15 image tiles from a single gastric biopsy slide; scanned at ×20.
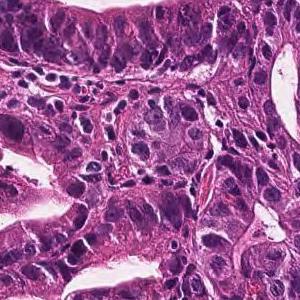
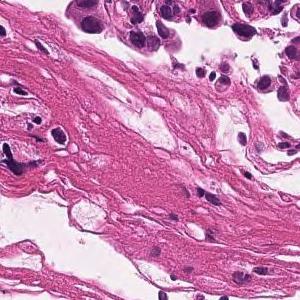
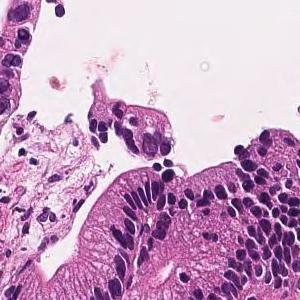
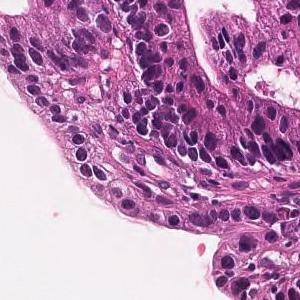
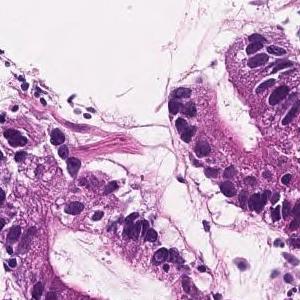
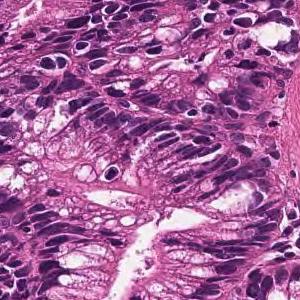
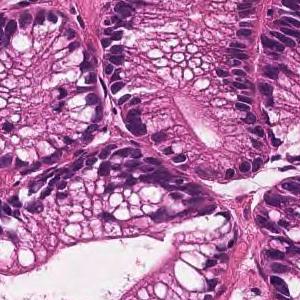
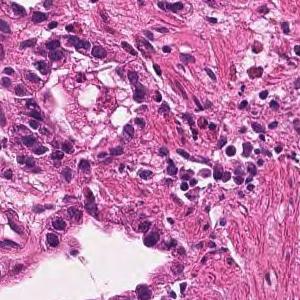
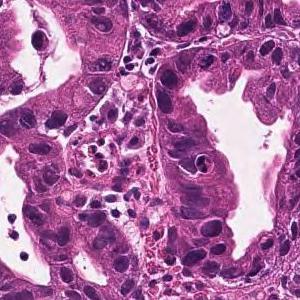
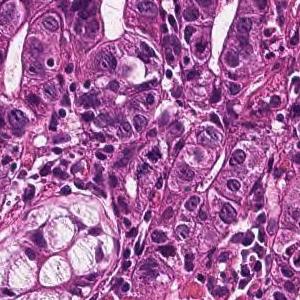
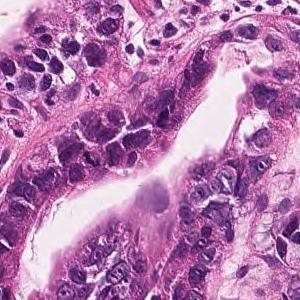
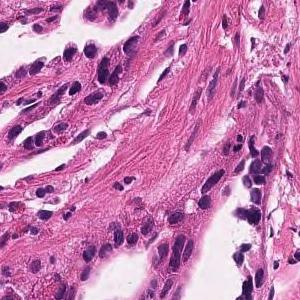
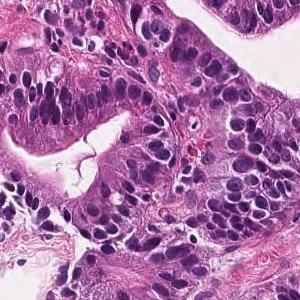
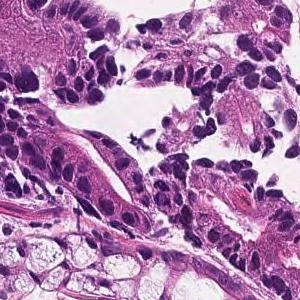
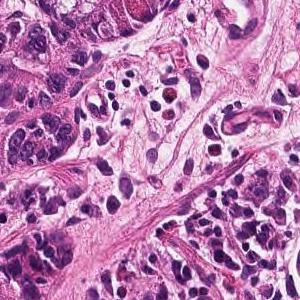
Diagnostic report for the slide these tiles come from. Both the report and the diagnosis are for the whole slide: these tiles need not show every feature named, and some of the tissue shown may not be tumor.
In the superficial epithelium, tumor tissue that invades by forming medium-sized to small, irregular ducts is observed. moderately differentiated tubular adenocarcinoma.
